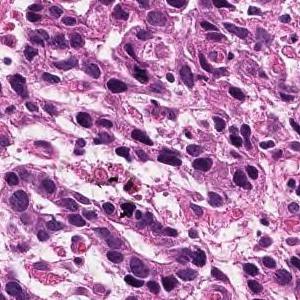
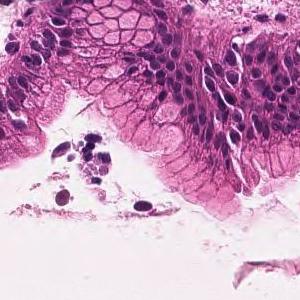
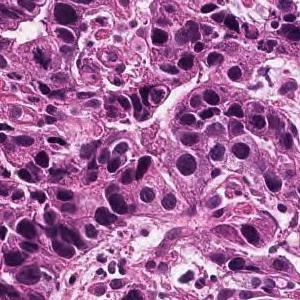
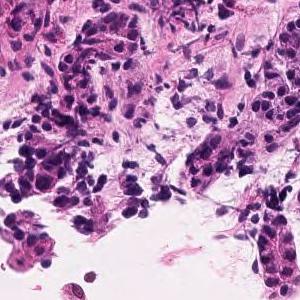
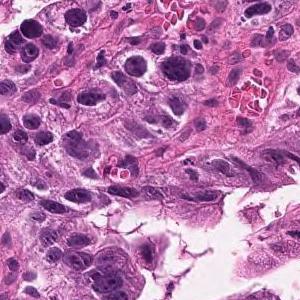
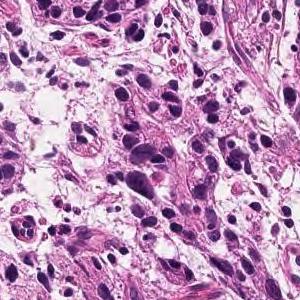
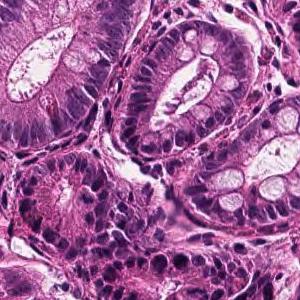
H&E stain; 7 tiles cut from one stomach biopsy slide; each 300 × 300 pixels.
Pathology report for the slide these tiles were cut from. The report describes the whole slide, diagnosis included: not every finding it names need appear in these tiles, which may also show non-tumor tissue.
Tumor tissue consisting of medium-sized, cord-like or irregular glandular infiltration is observed in the superficial epithelium. Poorly differentiated adenocarcinoma, non-solid type or moderately differentiated tubular adenocarcinoma
Tumor subtype: moderately to poorly differentiated adenocarcinoma.
The term "non-solid type" comes from the Japanese Classification of Gastric Carcinoma.
